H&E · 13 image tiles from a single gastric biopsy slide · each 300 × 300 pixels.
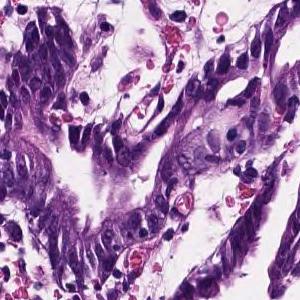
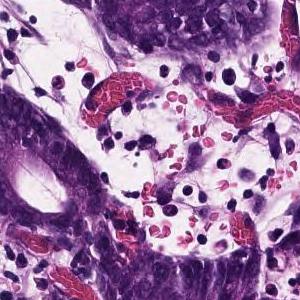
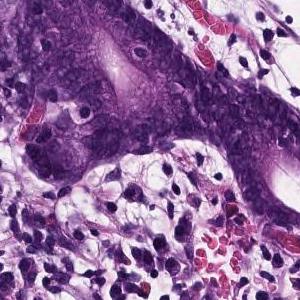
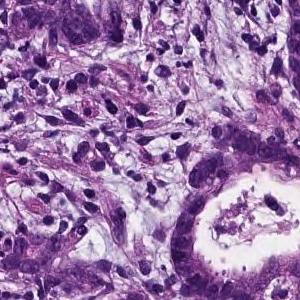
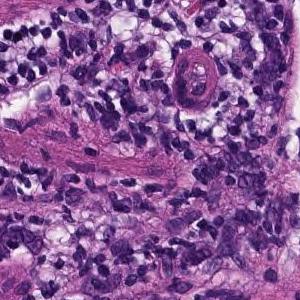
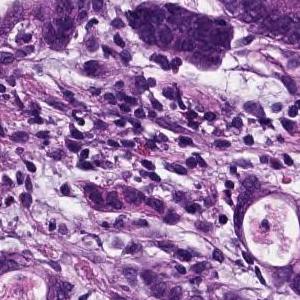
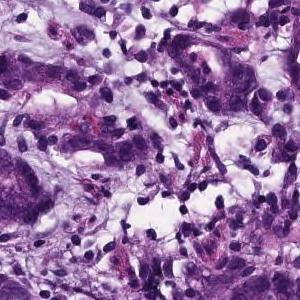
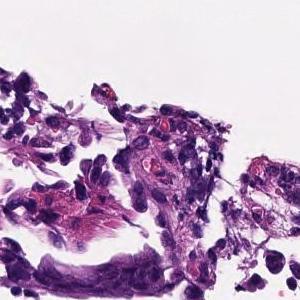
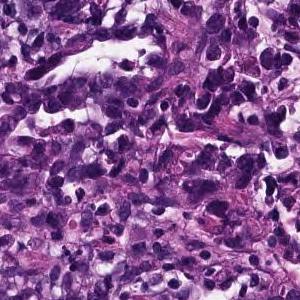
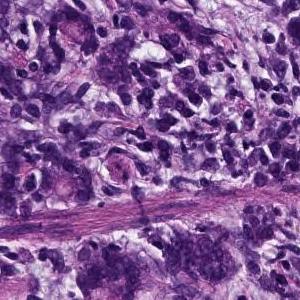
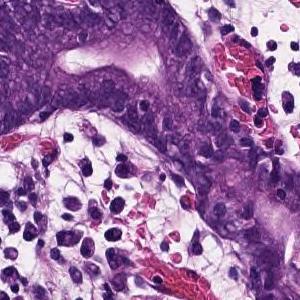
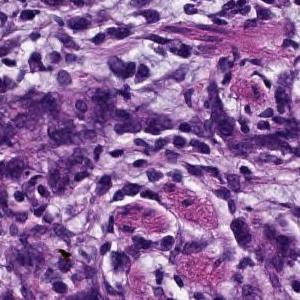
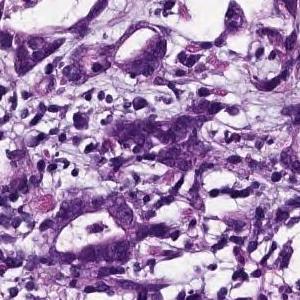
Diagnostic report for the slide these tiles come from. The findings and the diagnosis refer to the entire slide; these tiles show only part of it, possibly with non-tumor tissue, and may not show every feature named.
Tumor tissue consisting of medium-sized, cord-like or irregular glandular infiltration is observed in the superficial epithelium. Poorly differentiated adenocarcinoma, non-solid type or moderately differentiated tubular adenocarcinoma
Classified as moderately to poorly differentiated adenocarcinoma.
"Non-solid type" is a category of the Japanese Classification of Gastric Carcinoma.
